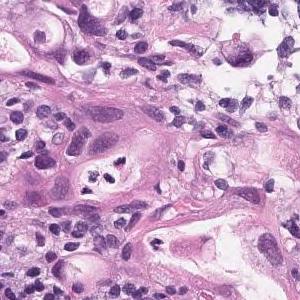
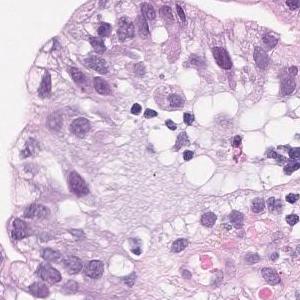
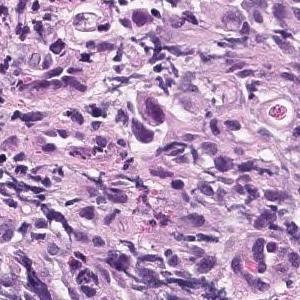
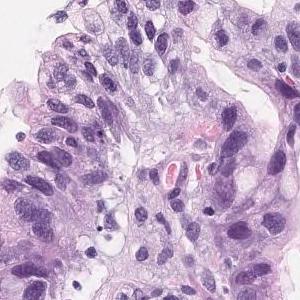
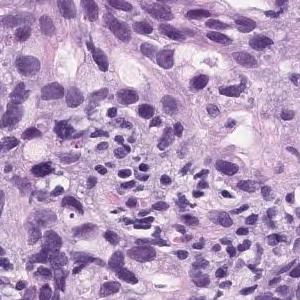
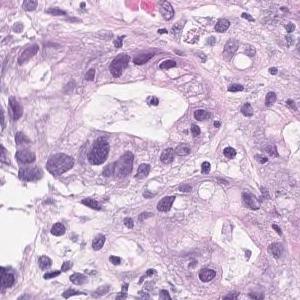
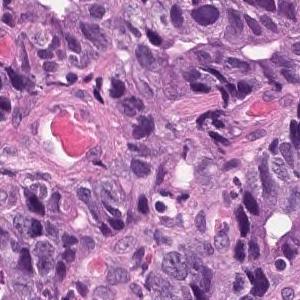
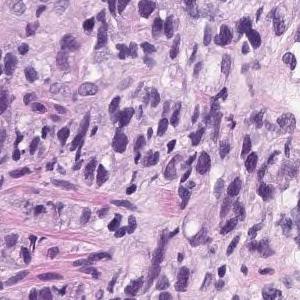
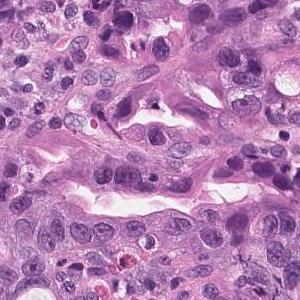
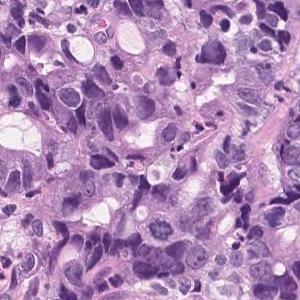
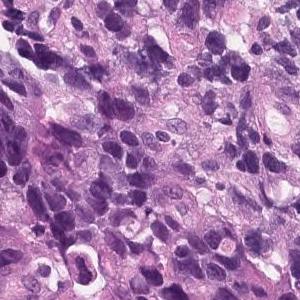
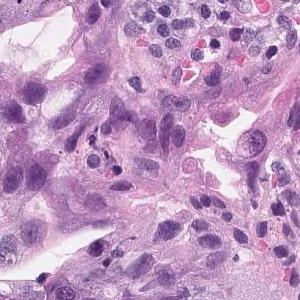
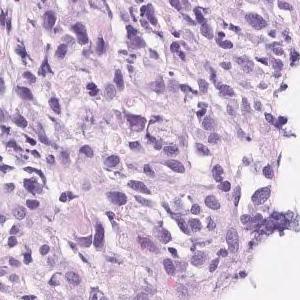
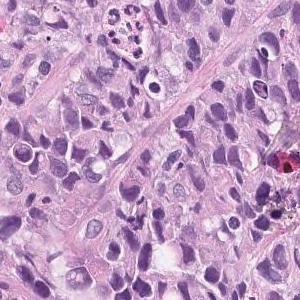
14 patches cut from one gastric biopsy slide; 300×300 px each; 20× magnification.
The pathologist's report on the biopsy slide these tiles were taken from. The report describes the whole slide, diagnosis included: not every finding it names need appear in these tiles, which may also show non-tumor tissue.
Tumor tissue consisting of medium-sized, cord-like or irregular glandular infiltration is observed in the superficial epithelium. Poorly differentiated adenocarcinoma, non-solid type or moderately differentiated tubular adenocarcinoma
Labeled in the dataset as poorly differentiated adenocarcinoma, non-solid type.
"Non-solid type" is a category of the Japanese Classification of Gastric Carcinoma.
